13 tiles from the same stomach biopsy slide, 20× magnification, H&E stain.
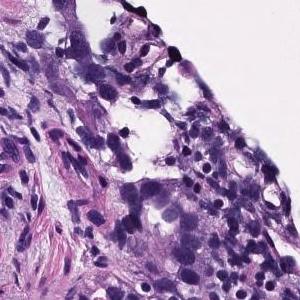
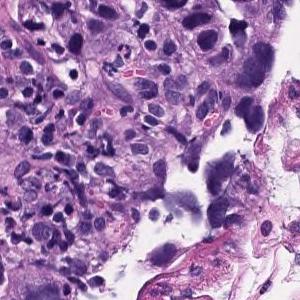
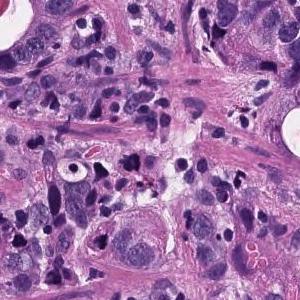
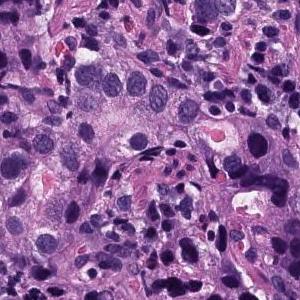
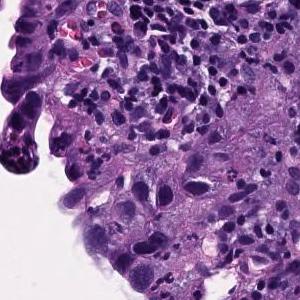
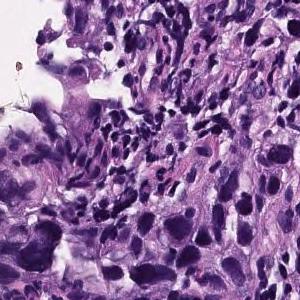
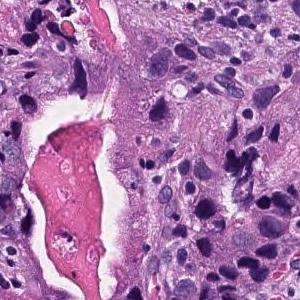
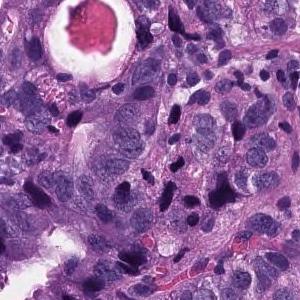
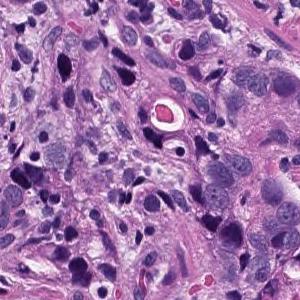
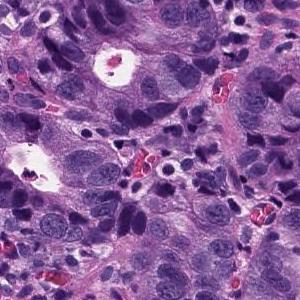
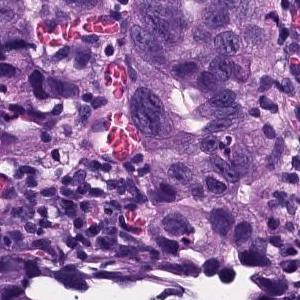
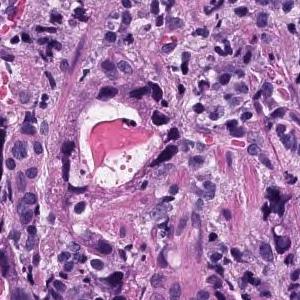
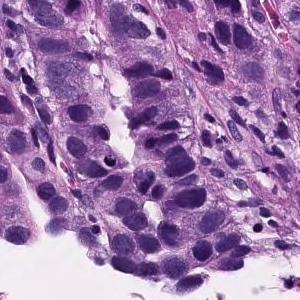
Report on the slide these tiles come from. The report and the diagnosis cover the entire slide, so not every feature they name need be visible here, and some tissue shown may not be tumor.
In the epithelium, tumor tissue in which medium to small irregular gland ducts fuse with each other and infiltrate the submucosa. moderately differentiated tubular adenocarcinoma
